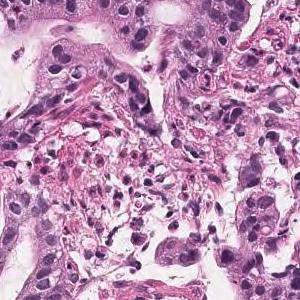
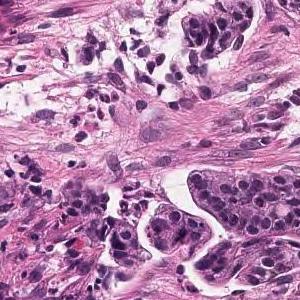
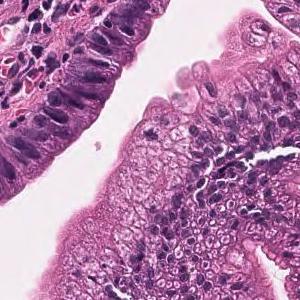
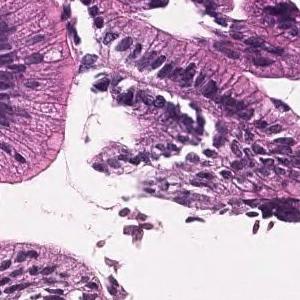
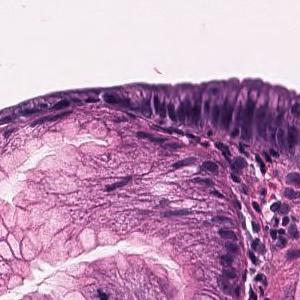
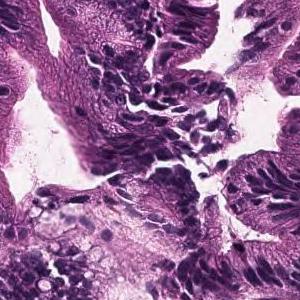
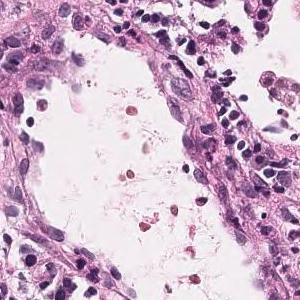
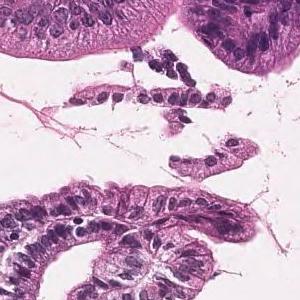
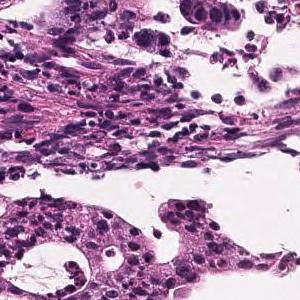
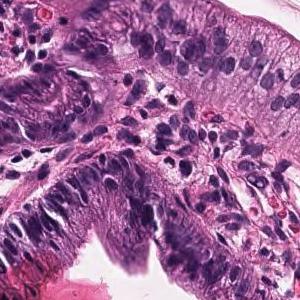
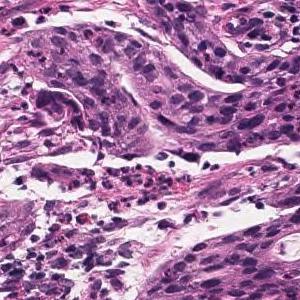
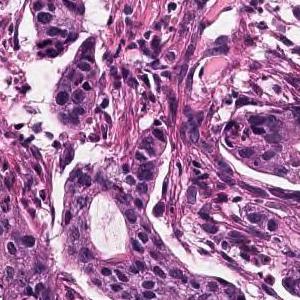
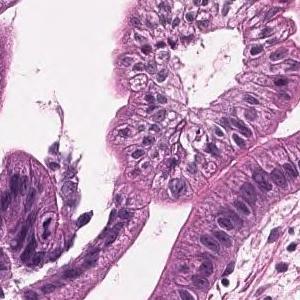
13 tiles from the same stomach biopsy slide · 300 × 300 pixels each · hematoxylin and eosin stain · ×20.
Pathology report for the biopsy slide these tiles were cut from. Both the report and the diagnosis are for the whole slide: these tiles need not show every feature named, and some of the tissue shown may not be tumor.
Tumor tissue that grows invasively while the short atypical epithelium forms small ducts is observed. moderately differentiated tubular adenocarcinoma
